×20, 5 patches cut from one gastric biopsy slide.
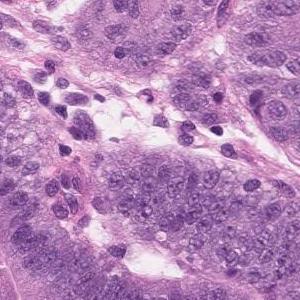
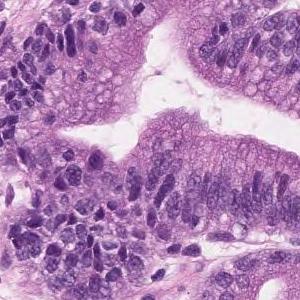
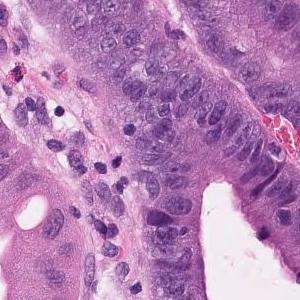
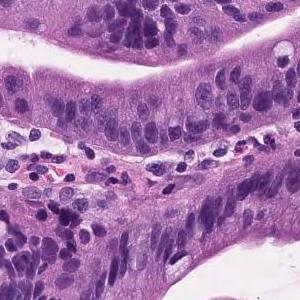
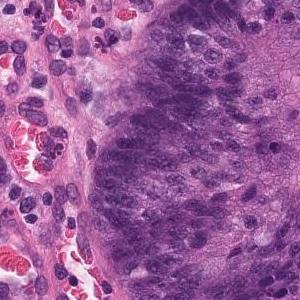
Report on the slide these tiles come from. The report and the diagnosis describe the slide as a whole, so these tiles may not show every feature named and may include non-tumor tissue.
On the superficial epithelium, tumor tissue consisting of large, irregular glandular ducts partially fused and infiltrated is observed. Well to moderately differentiated tubular adenocarcinoma (well differentiated tubular adenocarcinoma, moderately differentiated tubular adenocarcinoma)
Histologic type: Well to moderately differentiated tubular adenocarcinoma.
